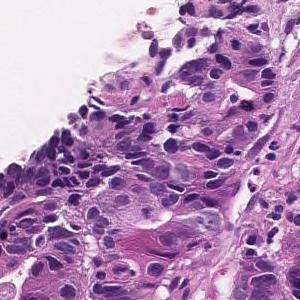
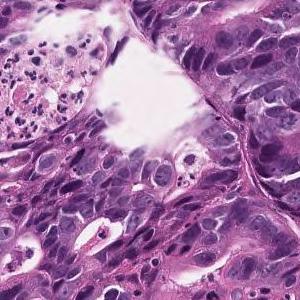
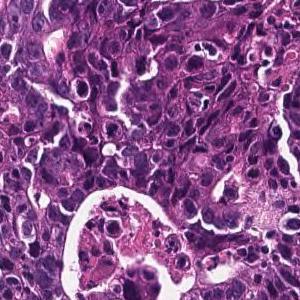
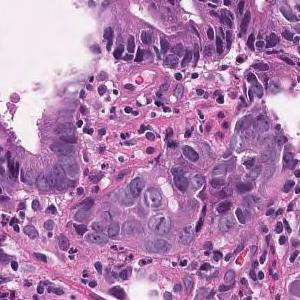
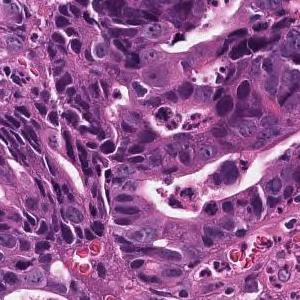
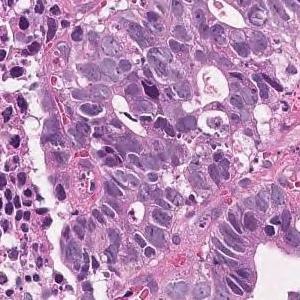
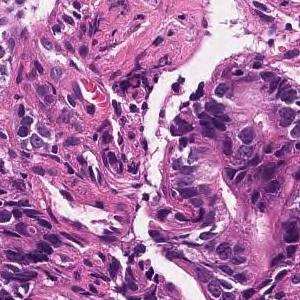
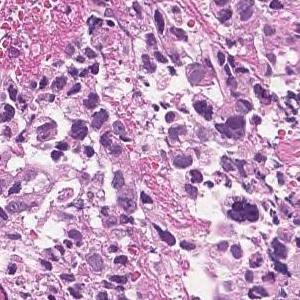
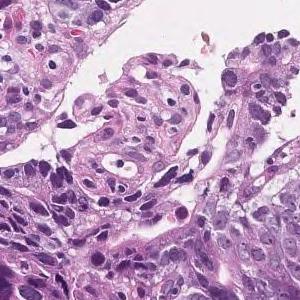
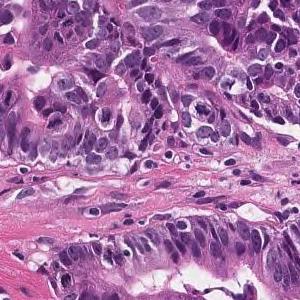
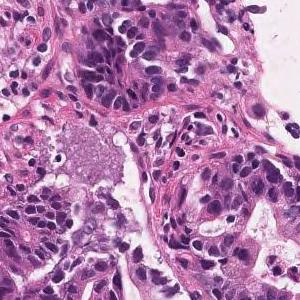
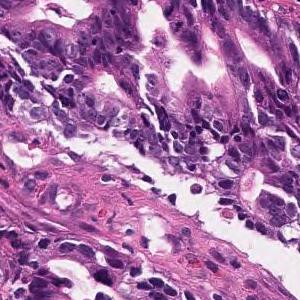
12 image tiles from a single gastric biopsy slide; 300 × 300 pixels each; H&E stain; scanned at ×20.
The pathologist's report on the biopsy slide these tiles were taken from. The report and the diagnosis cover the entire slide, so not every feature they name need be visible here, and some tissue shown may not be tumor.
In the superficial epithelium, tumor tissue that invades by forming medium-sized to small, irregular ducts is observed. moderately differentiated tubular adenocarcinoma.
